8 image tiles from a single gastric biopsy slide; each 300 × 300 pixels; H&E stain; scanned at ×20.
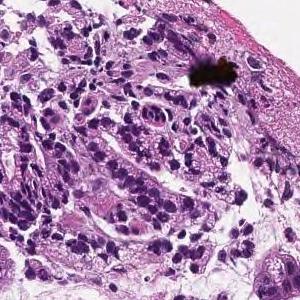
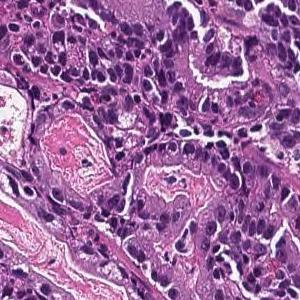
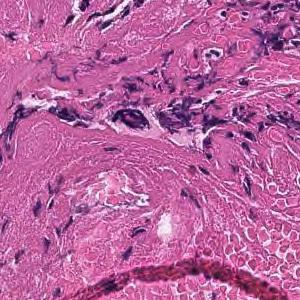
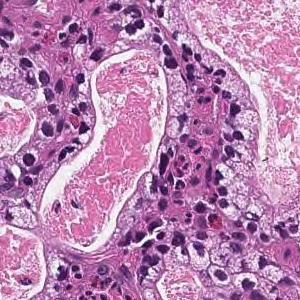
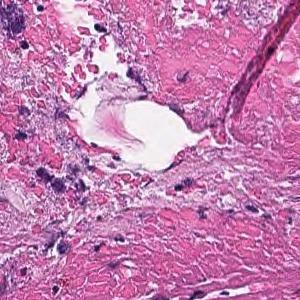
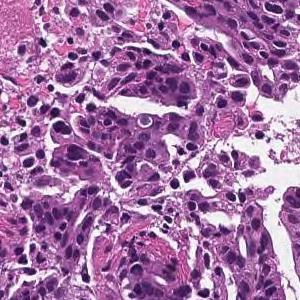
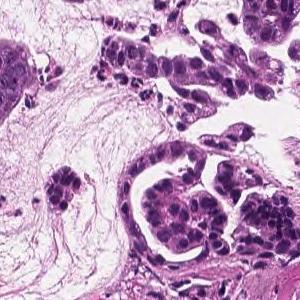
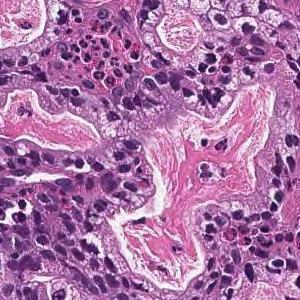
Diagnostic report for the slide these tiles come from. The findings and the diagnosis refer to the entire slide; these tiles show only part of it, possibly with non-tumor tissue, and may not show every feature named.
On the superficial epithelium, tumor tissue that infiltrates by forming medium-sized papillary or small irregular ducts is observed. Papillary adenocarcinoma
